10 tiles cut from one stomach biopsy slide; each 300 × 300 pixels; H&E.
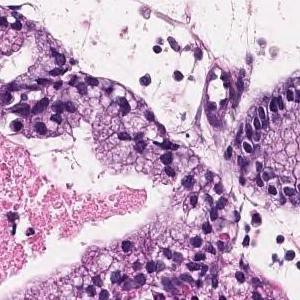
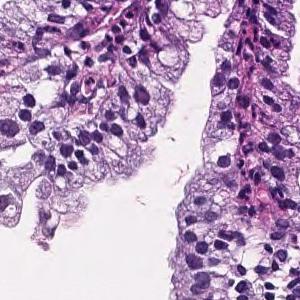
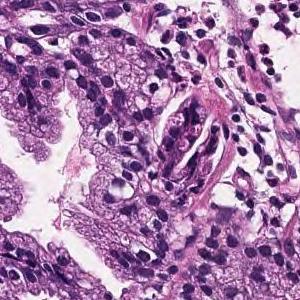
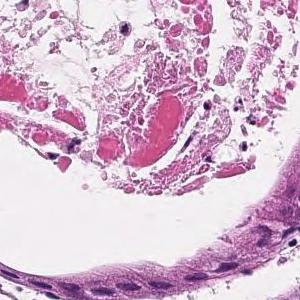
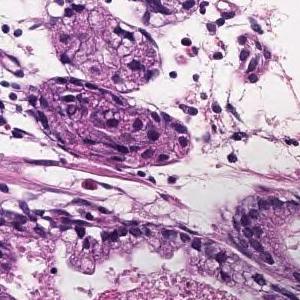
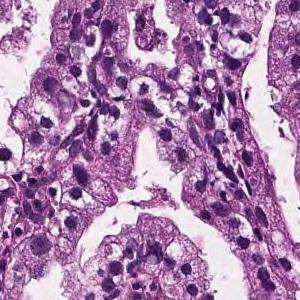
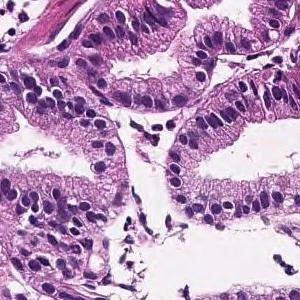
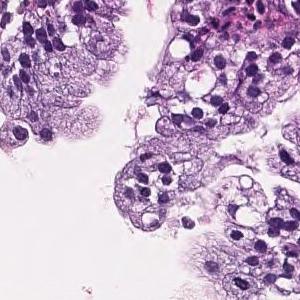
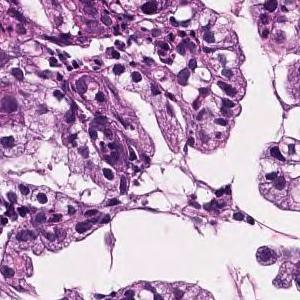
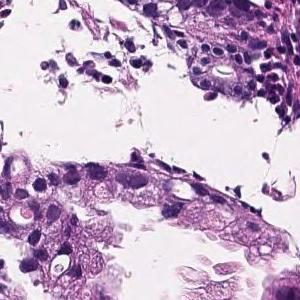
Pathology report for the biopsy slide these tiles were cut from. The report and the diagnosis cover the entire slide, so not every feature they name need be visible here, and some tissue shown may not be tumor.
In the superficial epithelium, tumor tissue that infiltrates by forming medium-sized papillary or small irregular ducts is observed. Papillary adenocarcinoma
